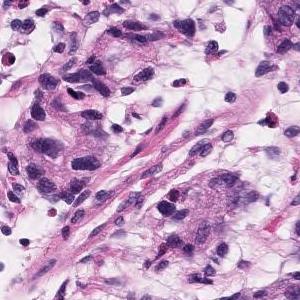
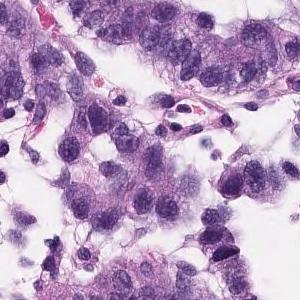
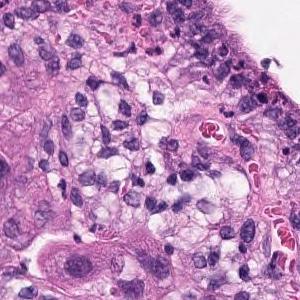
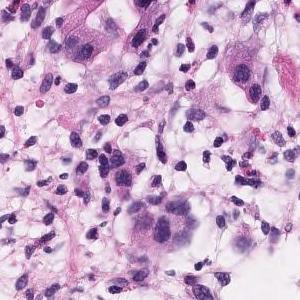
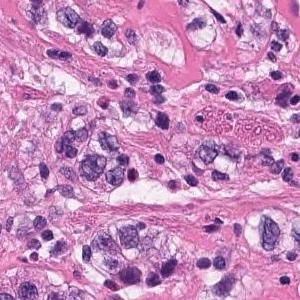
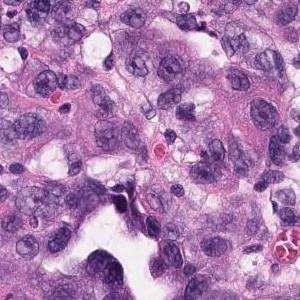
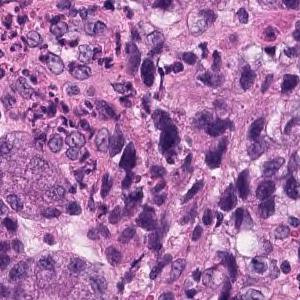
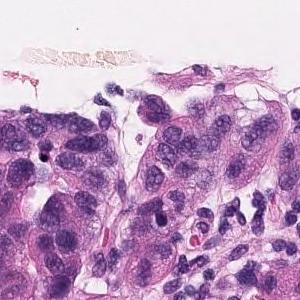
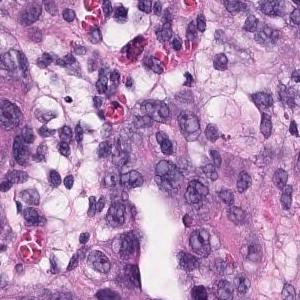
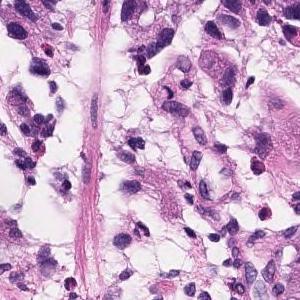
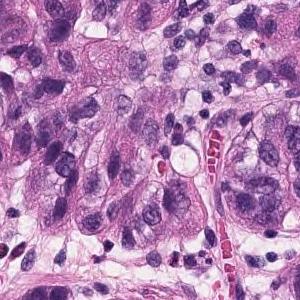
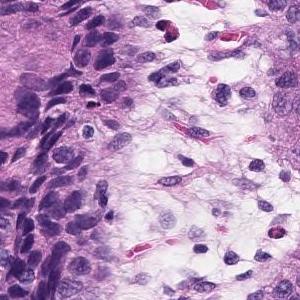
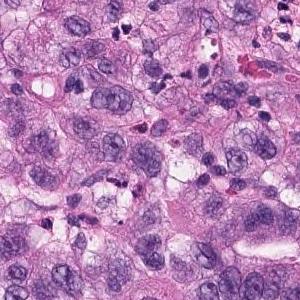
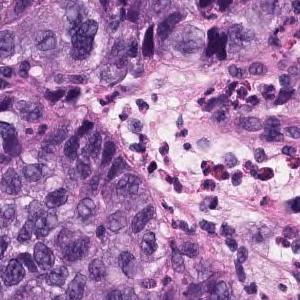
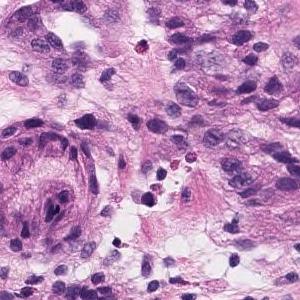
15 patches cut from one gastric biopsy slide, each 300 × 300 pixels, hematoxylin and eosin stain.
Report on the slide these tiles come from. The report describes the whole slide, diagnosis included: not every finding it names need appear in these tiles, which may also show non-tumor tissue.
Atypical l cells with atypical nuclei forming diffuse or small irregular atypical ducts and growing. Moderately to poorly differentiated adenocarcinoma (poorly differentiated adenocarcinoma, solid type, moderately differentiated tubular adenocarcinoma)
Histological subtype: Moderately to poorly differentiated adenocarcinoma.
The solid type named here is a Japanese Classification of Gastric Carcinoma category; WHO 2019 calls it tubular adenocarcinoma, poorly differentiated.
